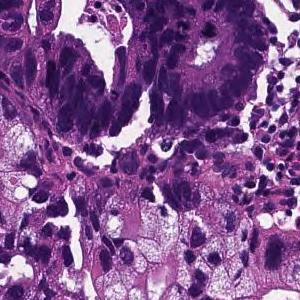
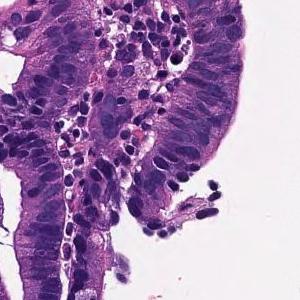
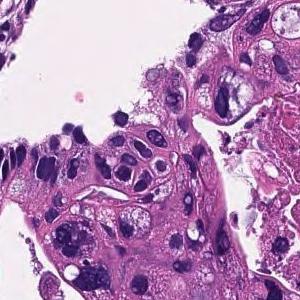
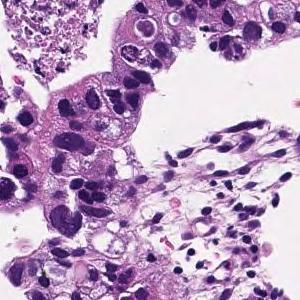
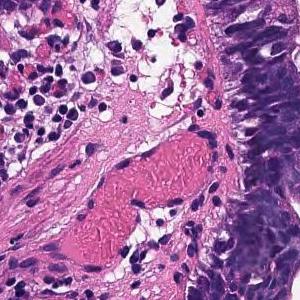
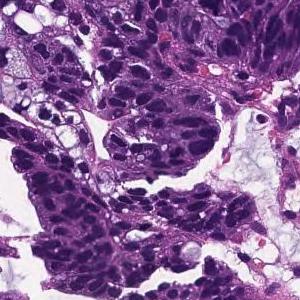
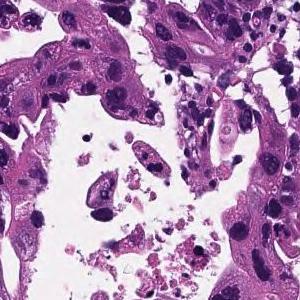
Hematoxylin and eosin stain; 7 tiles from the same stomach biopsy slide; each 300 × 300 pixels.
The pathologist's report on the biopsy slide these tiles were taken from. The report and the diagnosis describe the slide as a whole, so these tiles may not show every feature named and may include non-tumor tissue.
In the superficial epithelium, tumor tissue that invades by forming medium-sized to small, irregular ducts is observed. moderately differentiated tubular adenocarcinoma.
